×20; hematoxylin and eosin stain; 15 image tiles from a single gastric biopsy slide.
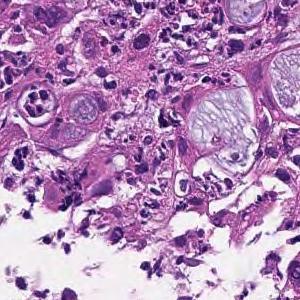
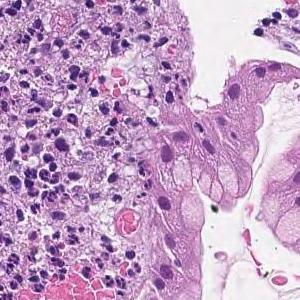
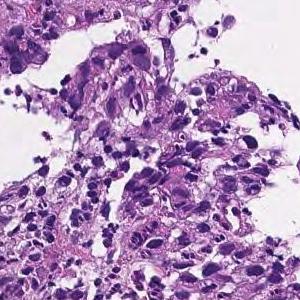
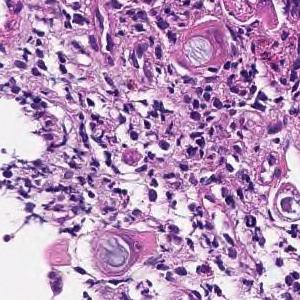
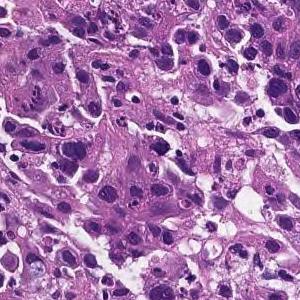
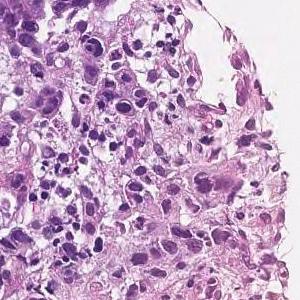
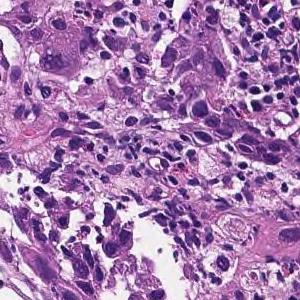
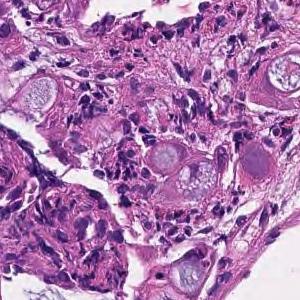
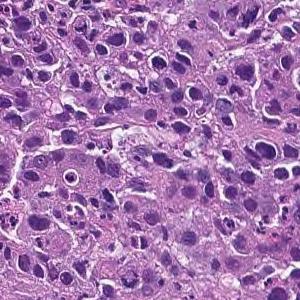
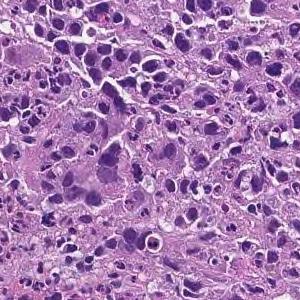
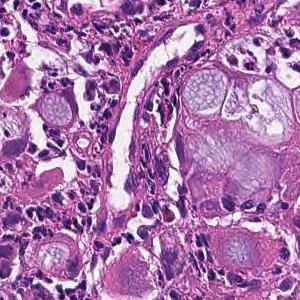
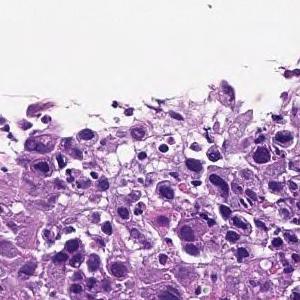
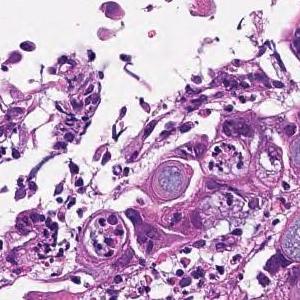
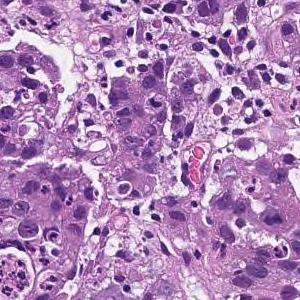
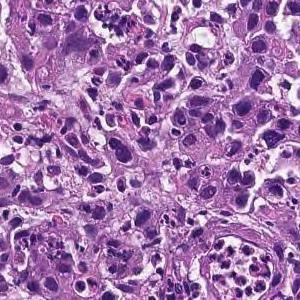
Diagnostic report for the slide these tiles come from. The report and the diagnosis describe the slide as a whole, so these tiles may not show every feature named and may include non-tumor tissue.
The superficial epithelium shows a large sheet-like shape, and some tumor tissue infiltrates with small irregular ducts. Poorly differentiated adenocarcinoma, solid-type
Classified as poorly differentiated adenocarcinoma, solid type, a category of the Japanese Classification of Gastric Carcinoma; in the WHO 2019 classification it is tubular adenocarcinoma, poorly differentiated.
